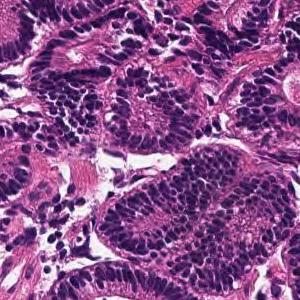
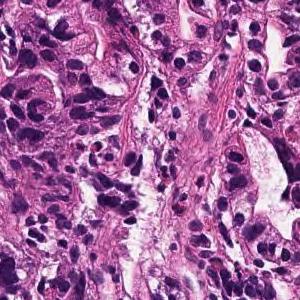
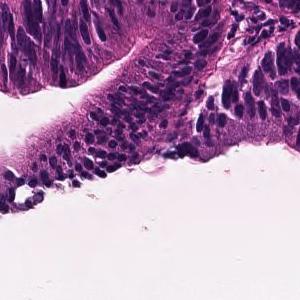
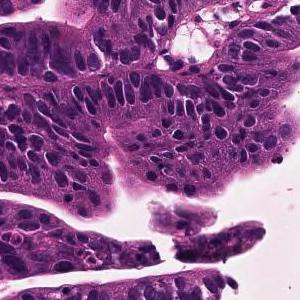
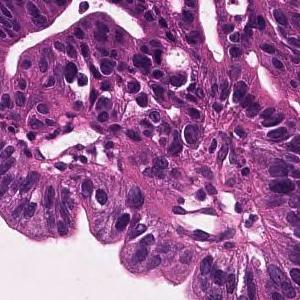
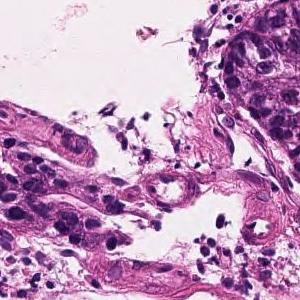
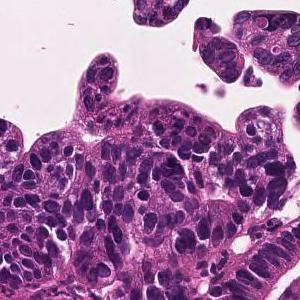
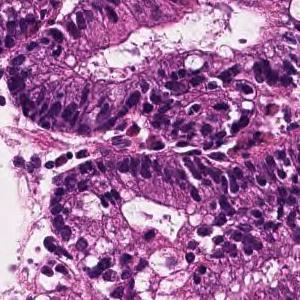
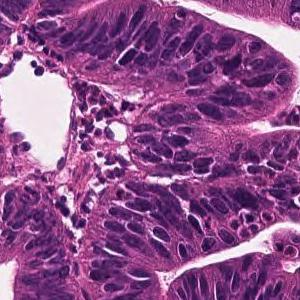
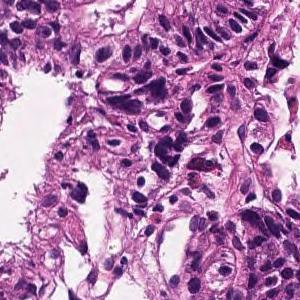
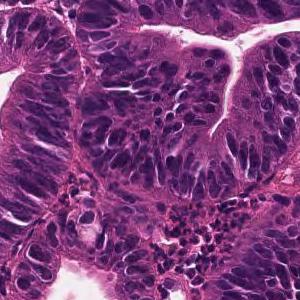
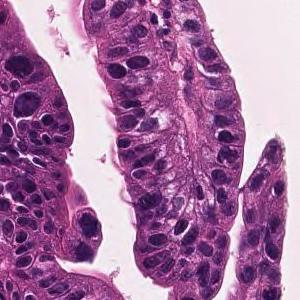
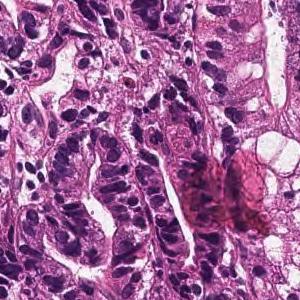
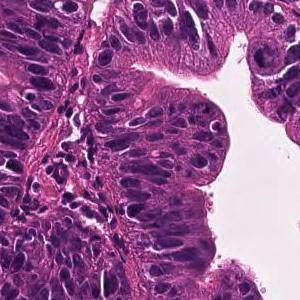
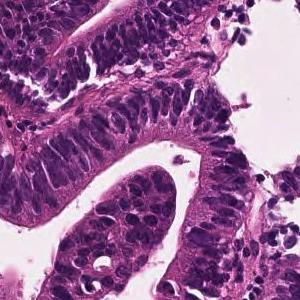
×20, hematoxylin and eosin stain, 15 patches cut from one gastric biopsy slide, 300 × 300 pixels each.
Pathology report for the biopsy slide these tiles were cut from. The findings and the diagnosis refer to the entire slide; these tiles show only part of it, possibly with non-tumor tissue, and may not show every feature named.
A large irregular tubular structure is exhibited in the epithelium, and tumor tissue that partially fuses and infiltrates and proliferates is observed. Large columnar tumor cells exhibit enlarged nucleus, hyperchromatism, and mitotic figures. Well differentiated tubular adenocarcinoma
